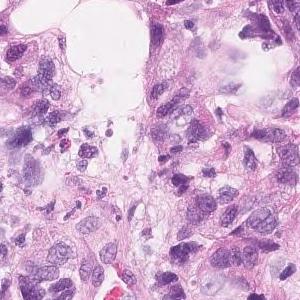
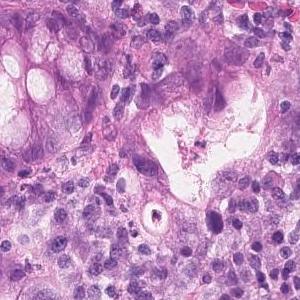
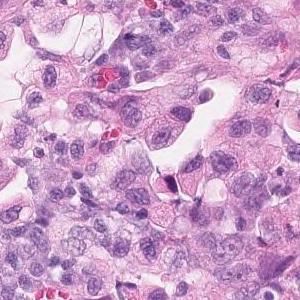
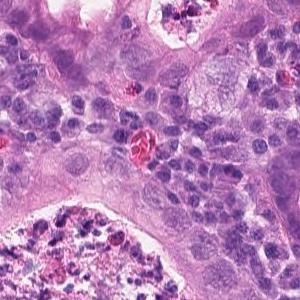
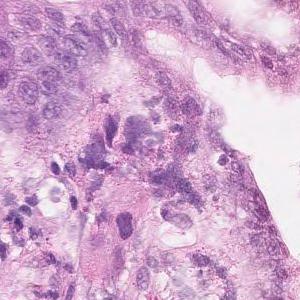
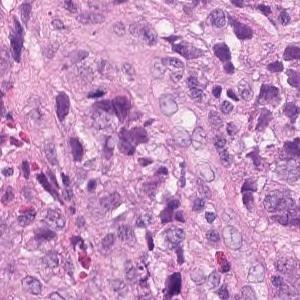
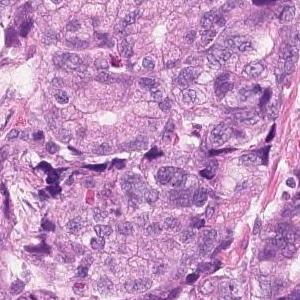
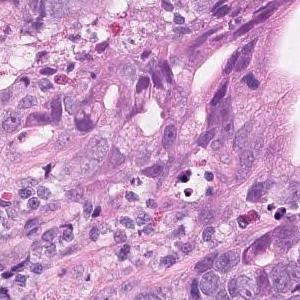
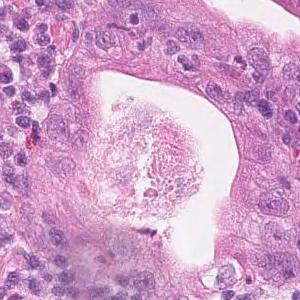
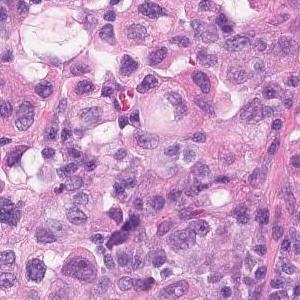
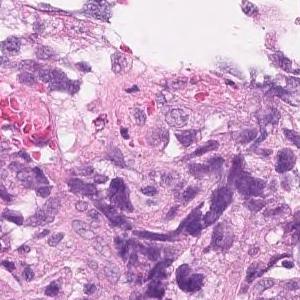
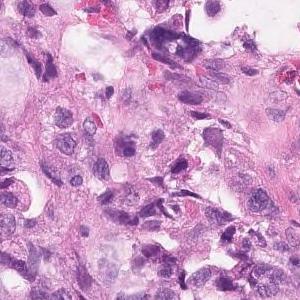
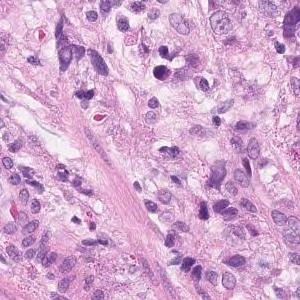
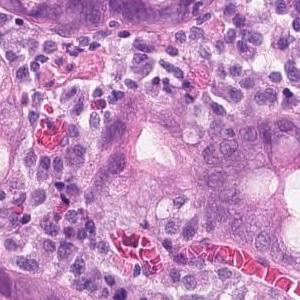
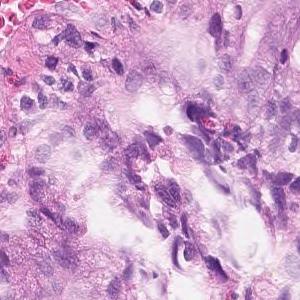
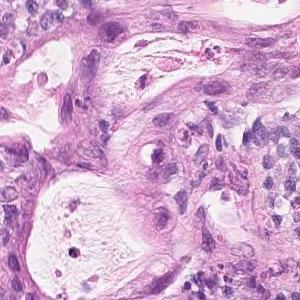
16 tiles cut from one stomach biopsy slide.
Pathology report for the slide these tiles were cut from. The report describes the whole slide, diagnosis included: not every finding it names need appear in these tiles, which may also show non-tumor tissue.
Tumor tissue showing dense, fused or diffuse, and infiltrative growth of small atypical ducts is observed. moderately differentiated tubular adenocarcinoma
